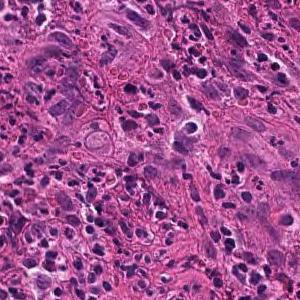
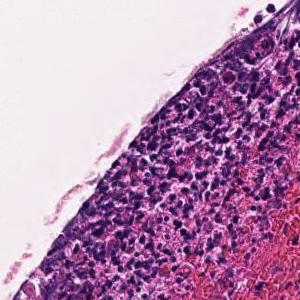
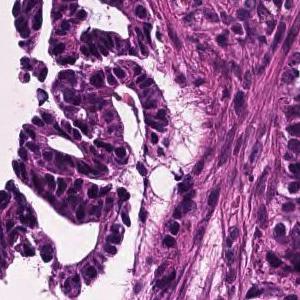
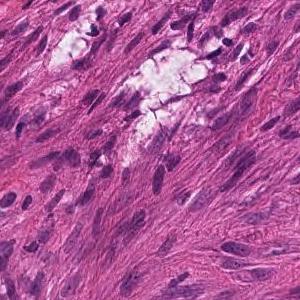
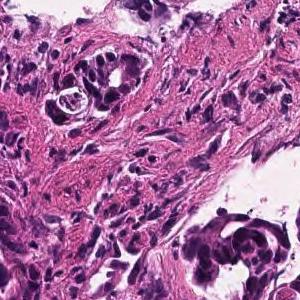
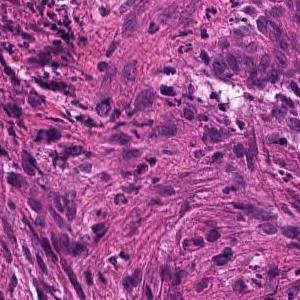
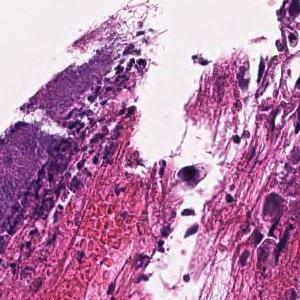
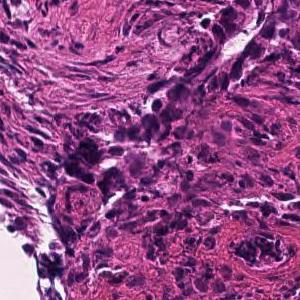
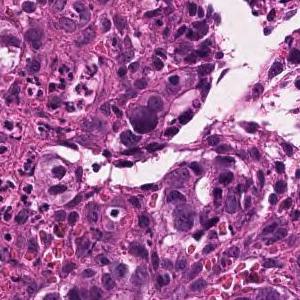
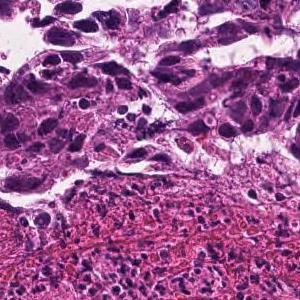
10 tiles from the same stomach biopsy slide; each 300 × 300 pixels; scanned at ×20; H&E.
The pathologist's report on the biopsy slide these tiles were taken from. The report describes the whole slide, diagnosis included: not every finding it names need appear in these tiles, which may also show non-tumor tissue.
In the superficial epithelium, tumor tissue that invades by forming medium-sized to small, irregular ducts is observed. moderately differentiated tubular adenocarcinoma.
